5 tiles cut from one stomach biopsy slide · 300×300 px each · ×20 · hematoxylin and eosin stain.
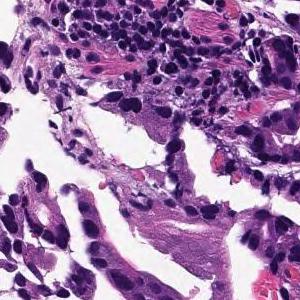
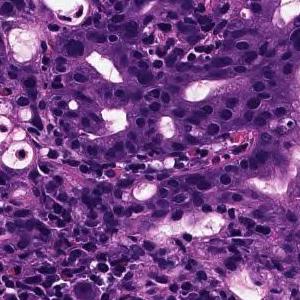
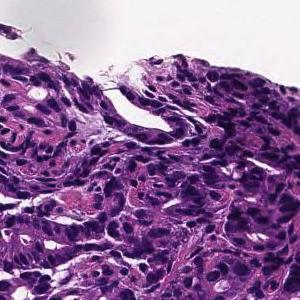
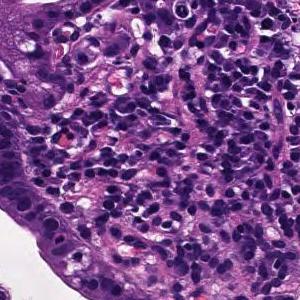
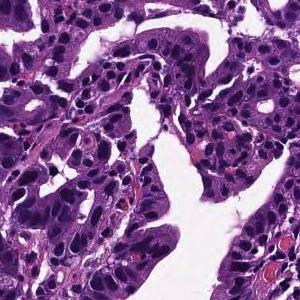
Report on the slide these tiles come from. Both the report and the diagnosis are for the whole slide: these tiles need not show every feature named, and some of the tissue shown may not be tumor.
From the superficial epithelium to the muscularis mucosae, tumor tissue consisting of medium-sized and irregular glandular ducts infiltrating is observed. Well differentiated tubular adenocarcinoma
